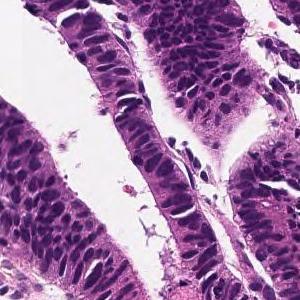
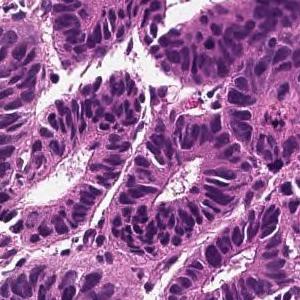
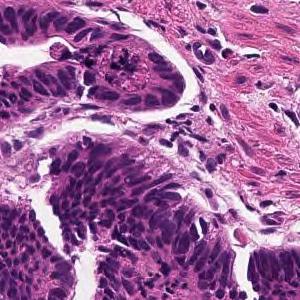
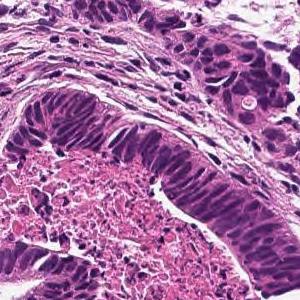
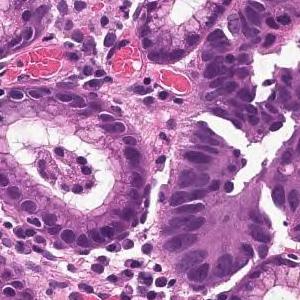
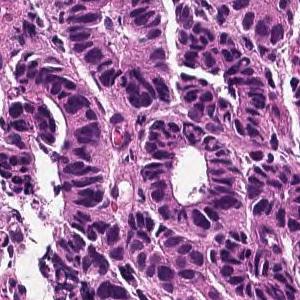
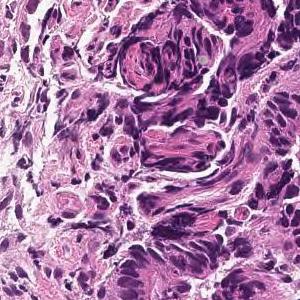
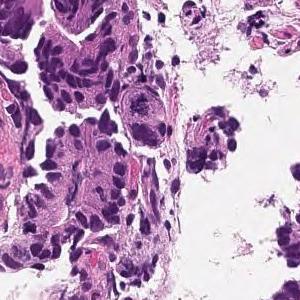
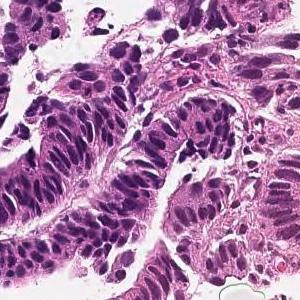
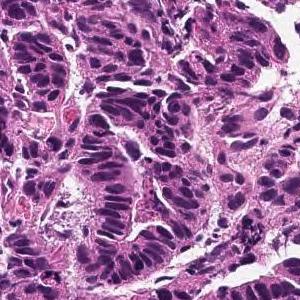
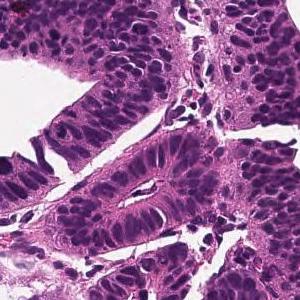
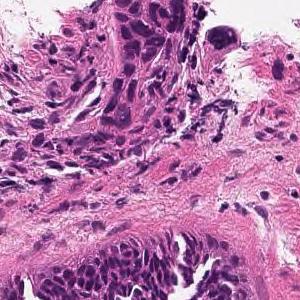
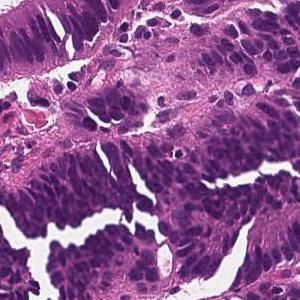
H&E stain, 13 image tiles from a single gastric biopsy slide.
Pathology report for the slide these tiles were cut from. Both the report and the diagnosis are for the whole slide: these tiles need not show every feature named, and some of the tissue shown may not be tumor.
From the superficial epithelium to the muscularis mucosae, tumor tissue consisting of medium-sized and irregular glandular ducts infiltrating is observed. Well differentiated tubular adenocarcinoma
